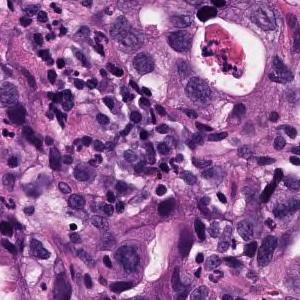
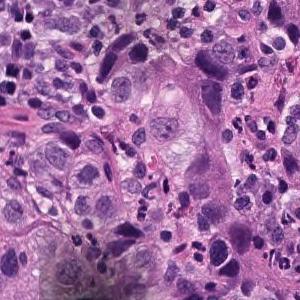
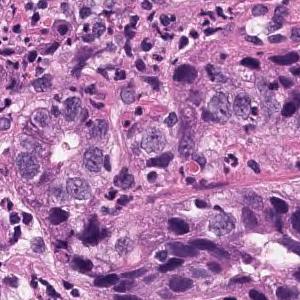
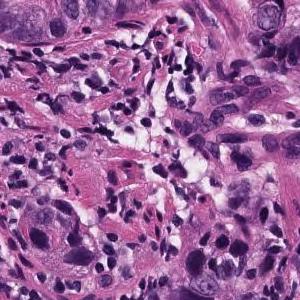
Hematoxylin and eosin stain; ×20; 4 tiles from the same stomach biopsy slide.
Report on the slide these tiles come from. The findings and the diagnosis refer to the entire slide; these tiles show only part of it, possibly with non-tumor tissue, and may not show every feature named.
In the superficial epithelium, tumor tissue that invades by forming medium-sized to small, irregular ducts is observed. Moderately differentiated adenocarcinoma.
Tumor subtype: moderately differentiated tubular adenocarcinoma.
